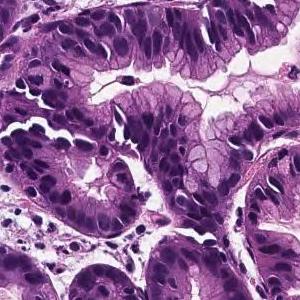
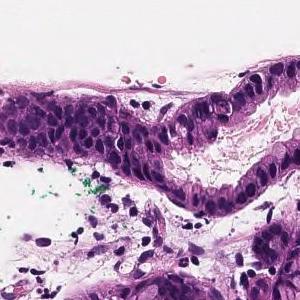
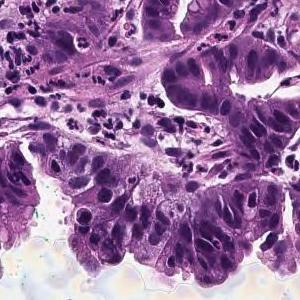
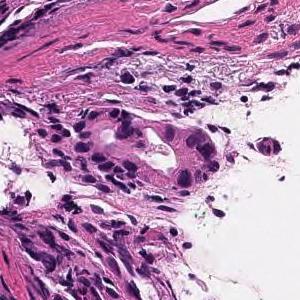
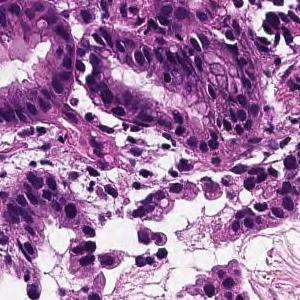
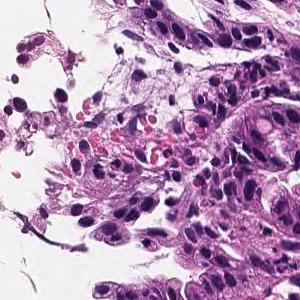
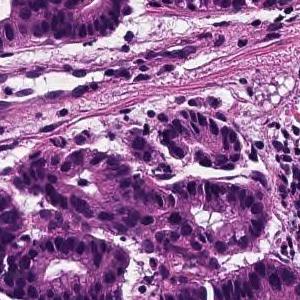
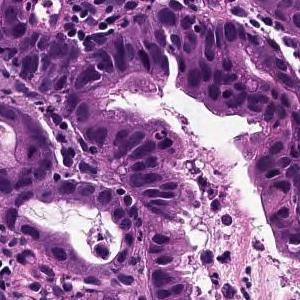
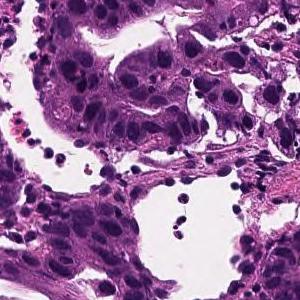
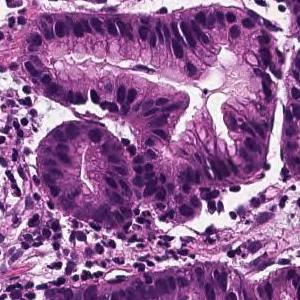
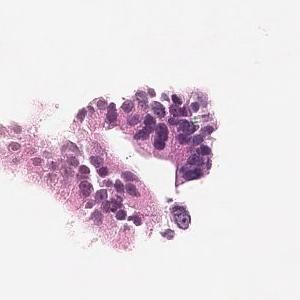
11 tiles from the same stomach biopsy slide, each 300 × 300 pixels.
Diagnostic report for the slide these tiles come from. What the report and the diagnosis say applies to the whole slide; these tiles may miss some of the features named and may include tissue that is not tumor.
Tumor cells are large, highly columnar, large club-shaped nuclei, and are associated with chromatin aggregation. Papillary adenocarcinoma.
